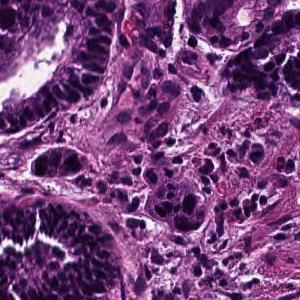
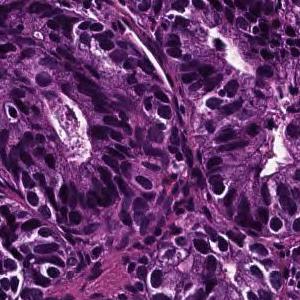
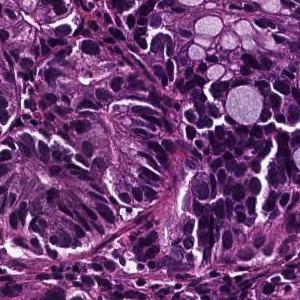
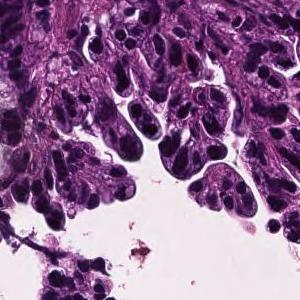
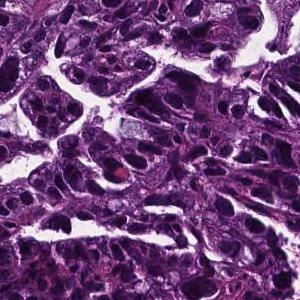
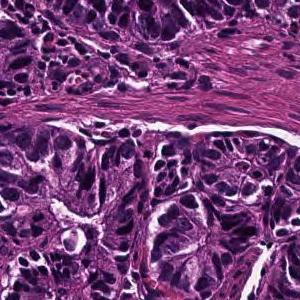
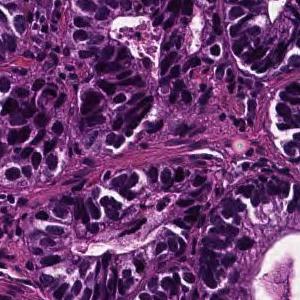
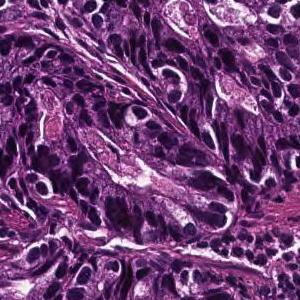
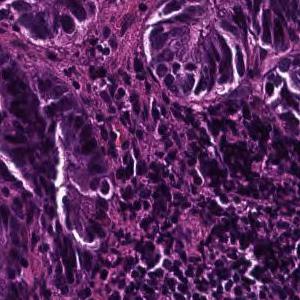
H&E · scanned at ×20 · 9 tiles cut from one stomach biopsy slide · 300 × 300 pixels each.
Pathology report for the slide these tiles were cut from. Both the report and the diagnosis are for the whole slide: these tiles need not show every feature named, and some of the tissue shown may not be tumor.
In the superficial epithelium, tumor tissue that invades by forming medium-sized to small, irregular ducts is observed. Well differentiated tubular adenocarcinoma.
